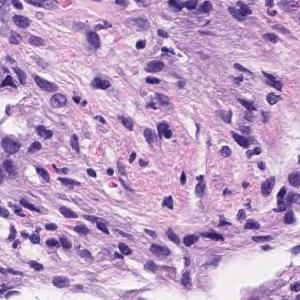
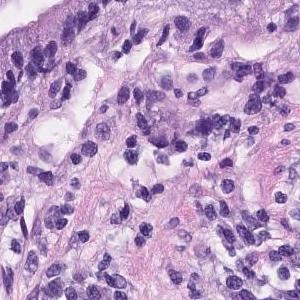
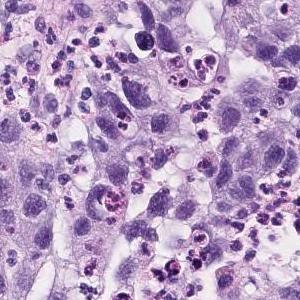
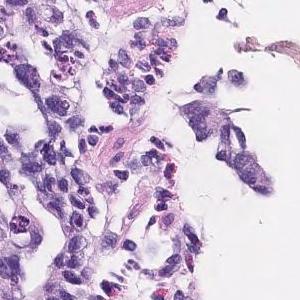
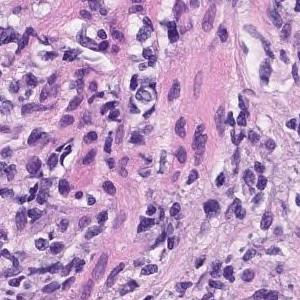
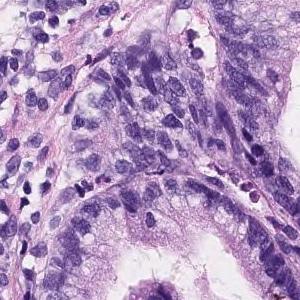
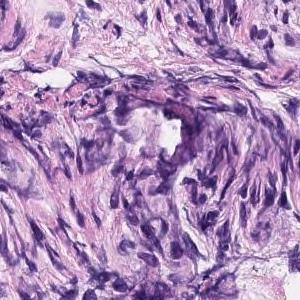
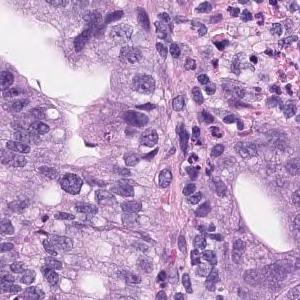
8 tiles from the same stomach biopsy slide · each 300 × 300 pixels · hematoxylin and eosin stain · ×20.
Pathology report for the slide these tiles were cut from. The findings and the diagnosis refer to the entire slide; these tiles show only part of it, possibly with non-tumor tissue, and may not show every feature named.
Tumor cells are large, highly columnar, large club-shaped nuclei, and are associated with chromatin aggregation. Papillary adenocarcinoma.
